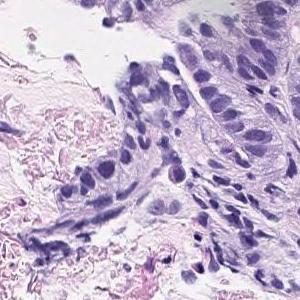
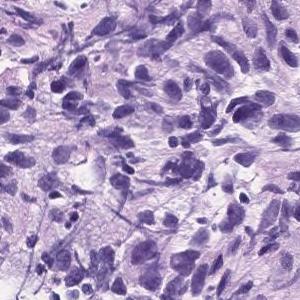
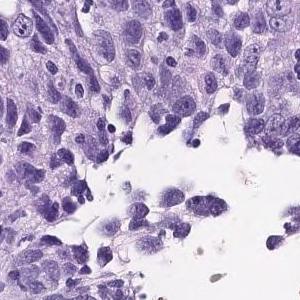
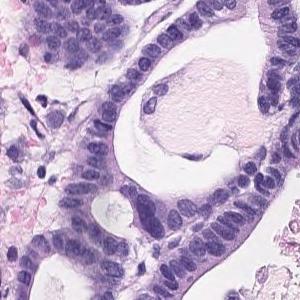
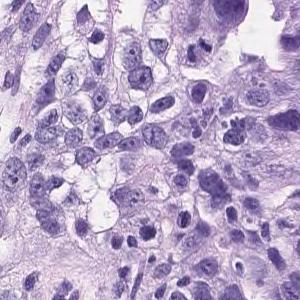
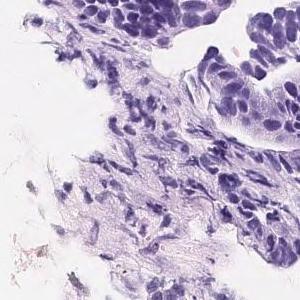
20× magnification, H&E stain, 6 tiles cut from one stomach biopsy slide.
Pathology report for the slide these tiles were cut from. Both the report and the diagnosis are for the whole slide: these tiles need not show every feature named, and some of the tissue shown may not be tumor.
The superficial epithelium shows a large sheet-like shape, and some tumor tissue infiltrates with small irregular ducts. Poorly differentiated adenocarcinoma, solid-type
Classified as poorly differentiated adenocarcinoma, solid type, a category of the Japanese Classification of Gastric Carcinoma; in the WHO 2019 classification it is tubular adenocarcinoma, poorly differentiated.
